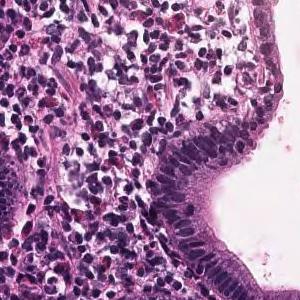
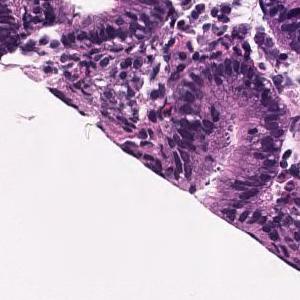
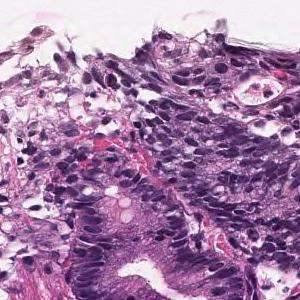
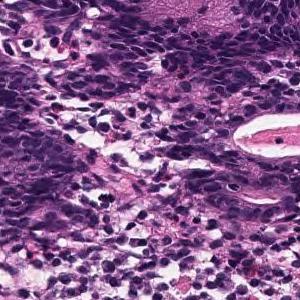
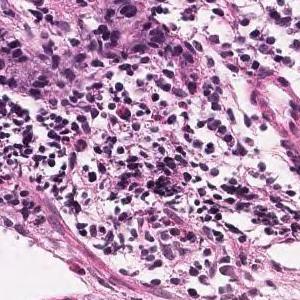
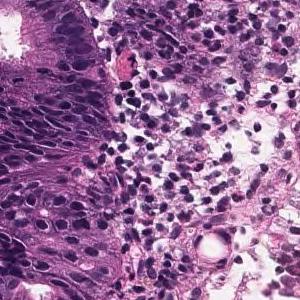
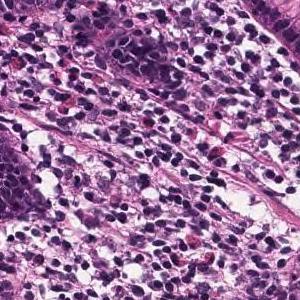
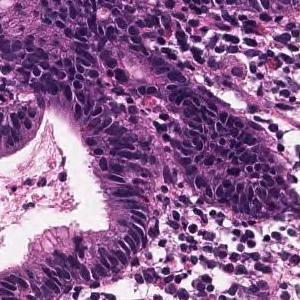
H&E · 8 patches cut from one gastric biopsy slide · each 300 × 300 pixels.
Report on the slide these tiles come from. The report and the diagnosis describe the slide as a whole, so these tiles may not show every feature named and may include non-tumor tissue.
Atypical epithelium with swelling of the nucleus and pseudostratified shows tumor tissue that grows with irregular branching. Well differentiated tubular adenocarcinoma
